×20, H&E stain, 8 patches cut from one gastric biopsy slide, 300×300 px each.
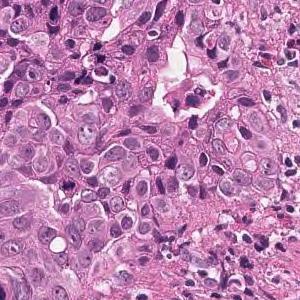
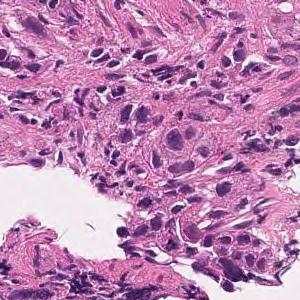
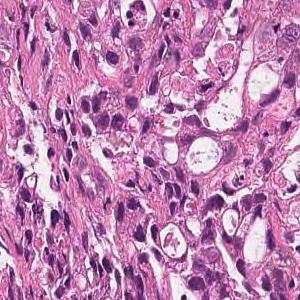
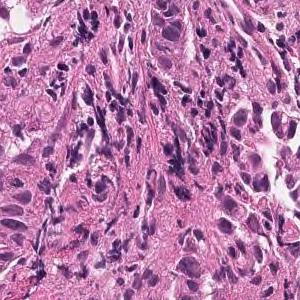
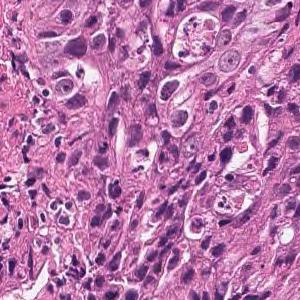
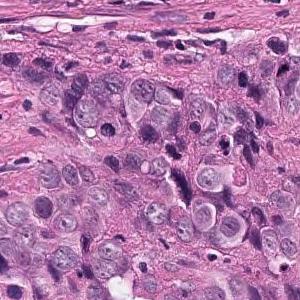
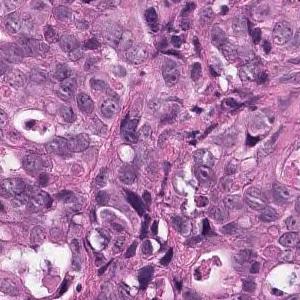
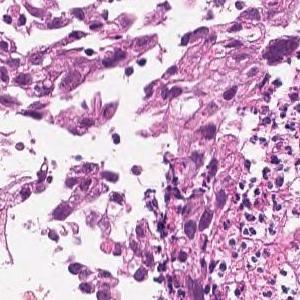
Pathology report for the biopsy slide these tiles were cut from. The report describes the whole slide, diagnosis included: not every finding it names need appear in these tiles, which may also show non-tumor tissue.
Tumor tissue that infiltrates and proliferates with alveolar or cord-like structures with small glandular cavities in the superficial to submucosal layers is observed. moderately differentiated tubular adenocarcinoma
